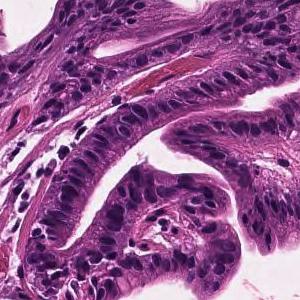
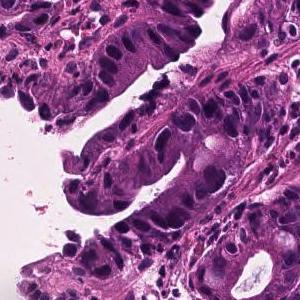
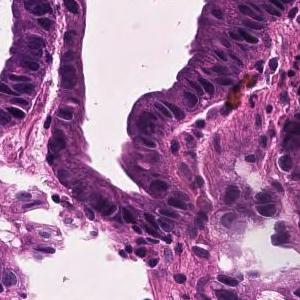
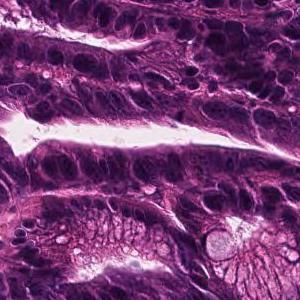
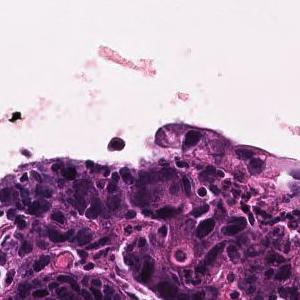
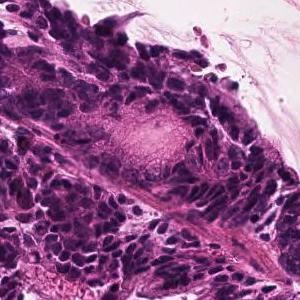
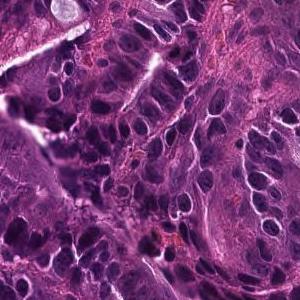
7 patches cut from one gastric biopsy slide; H&E stain; 20× magnification.
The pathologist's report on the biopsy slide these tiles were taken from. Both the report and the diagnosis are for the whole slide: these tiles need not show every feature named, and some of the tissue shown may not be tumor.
In the superficial epithelium, tumor tissue that invades by forming medium-sized to small, irregular ducts is observed. Well differentiated tubular adenocarcinoma.
